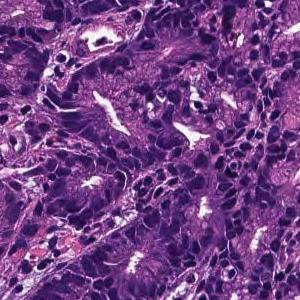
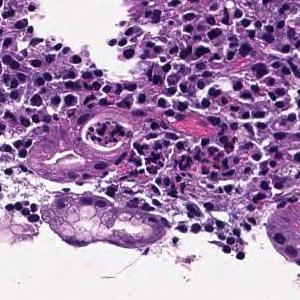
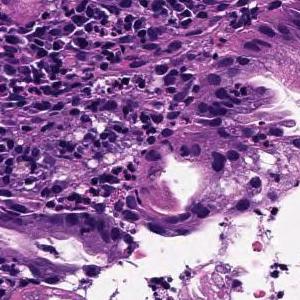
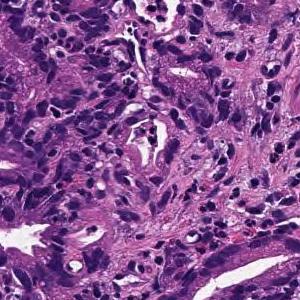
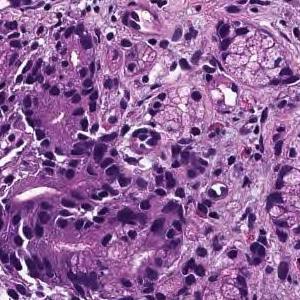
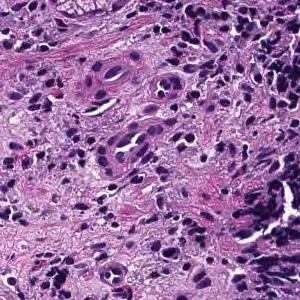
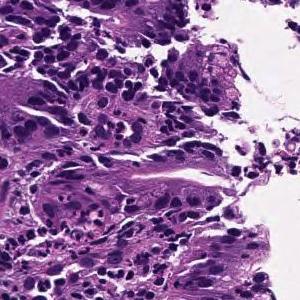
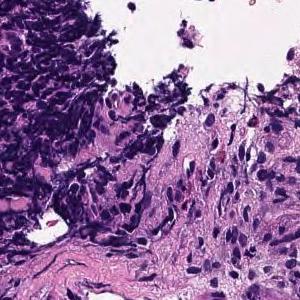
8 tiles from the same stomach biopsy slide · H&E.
Pathology report for the biopsy slide these tiles were cut from. The report and the diagnosis cover the entire slide, so not every feature they name need be visible here, and some tissue shown may not be tumor.
In the superficial epithelium, tumor tissue that invades by forming medium-sized to small, irregular ducts is observed. moderately differentiated tubular adenocarcinoma.
